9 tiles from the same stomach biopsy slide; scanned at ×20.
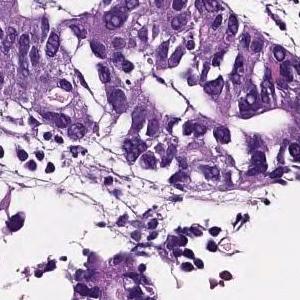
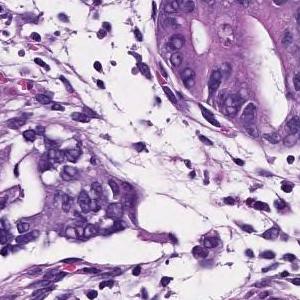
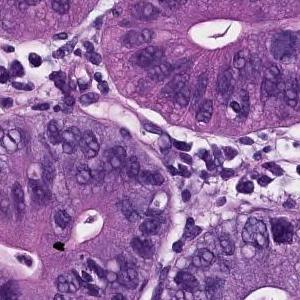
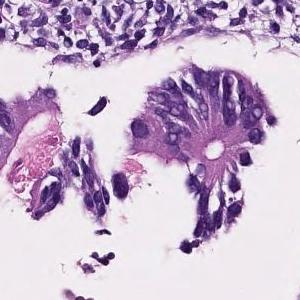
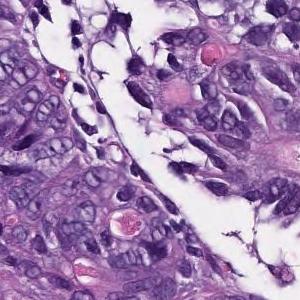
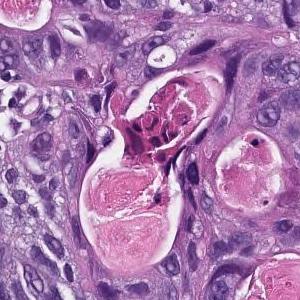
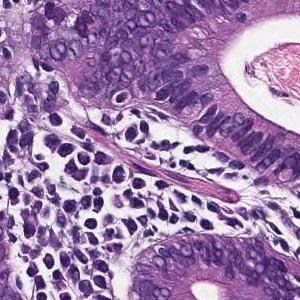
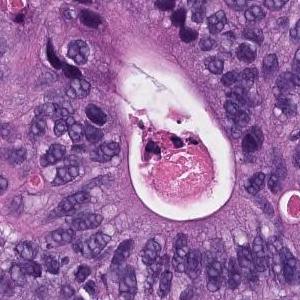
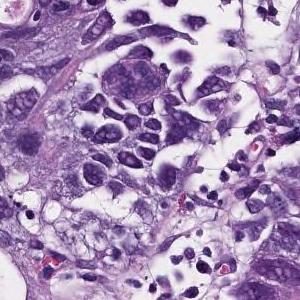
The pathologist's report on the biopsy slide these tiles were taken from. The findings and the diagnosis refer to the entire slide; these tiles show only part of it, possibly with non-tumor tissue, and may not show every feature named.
In the superficial epithelium, tumor tissue that invades by forming medium-sized to small, irregular ducts is observed. moderately differentiated tubular adenocarcinoma.
